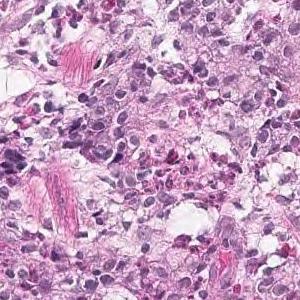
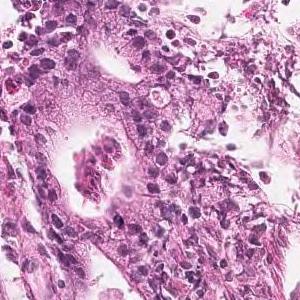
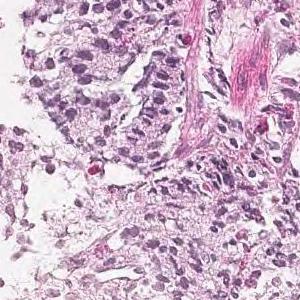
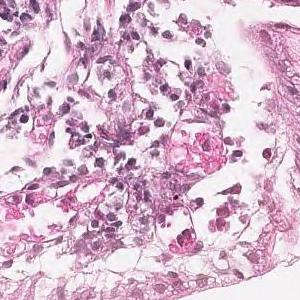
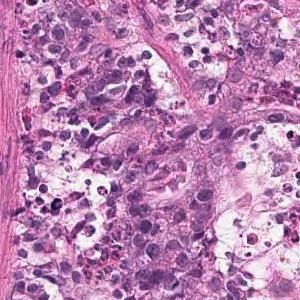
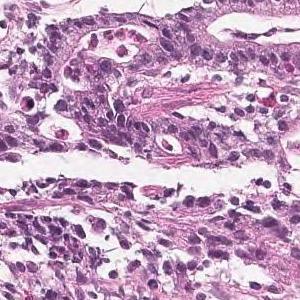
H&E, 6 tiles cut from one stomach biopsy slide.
Diagnostic report for the slide these tiles come from. The report and the diagnosis cover the entire slide, so not every feature they name need be visible here, and some tissue shown may not be tumor.
Tumor tissue consisting of medium-sized, cord-like or irregular glandular infiltration is observed in the superficial epithelium. Poorly differentiated adenocarcinoma, non-solid type or moderately differentiated tubular adenocarcinoma
The term "non-solid type" comes from the Japanese Classification of Gastric Carcinoma.
